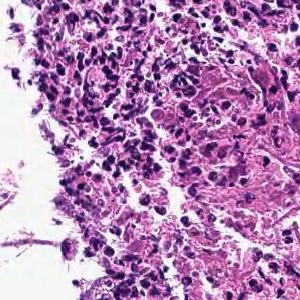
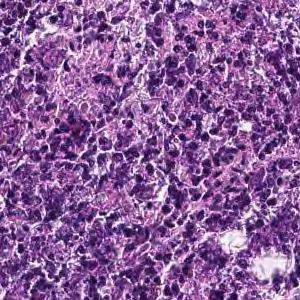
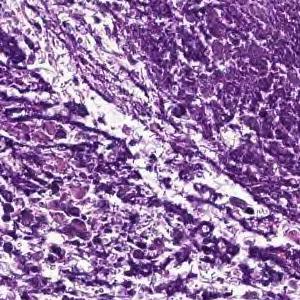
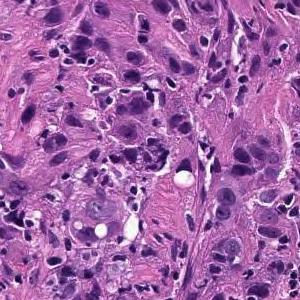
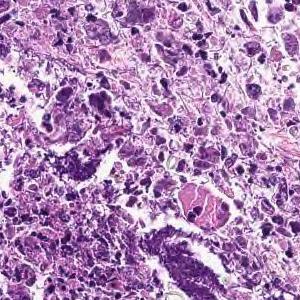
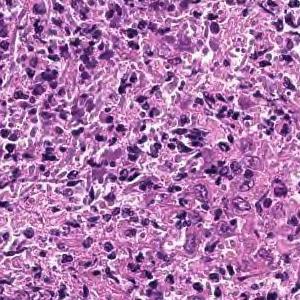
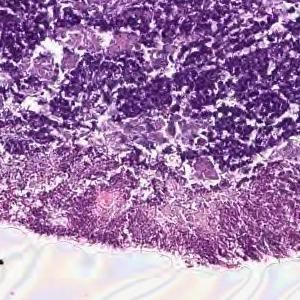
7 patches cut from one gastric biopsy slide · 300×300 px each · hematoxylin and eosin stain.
Pathology report for the slide these tiles were cut from. The findings and the diagnosis refer to the entire slide; these tiles show only part of it, possibly with non-tumor tissue, and may not show every feature named.
Cancers with polygonal nuclei do not show glandular formation and are densely, in part, cord-like and proliferate. Poorly differentiated adenocarcinoma
Subtype: Poorly differentiated adenocarcinoma, non-solid type.
The term "non-solid type" comes from the Japanese Classification of Gastric Carcinoma.
